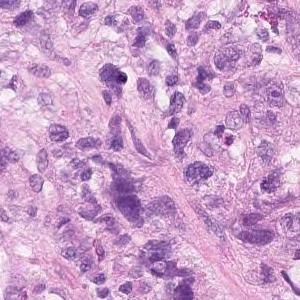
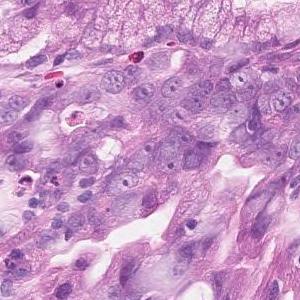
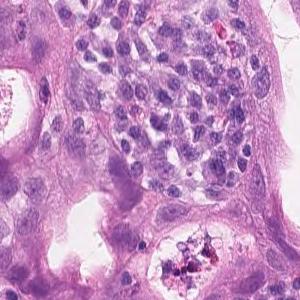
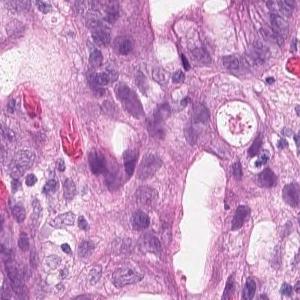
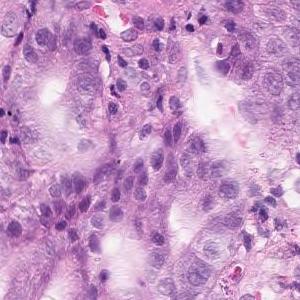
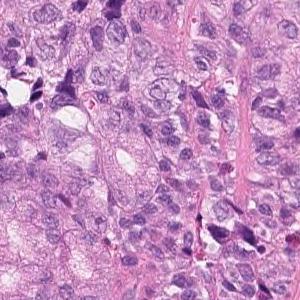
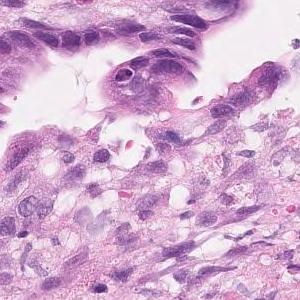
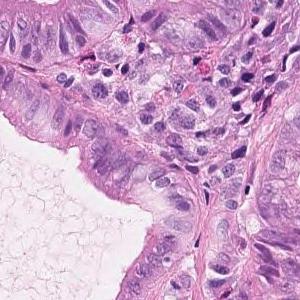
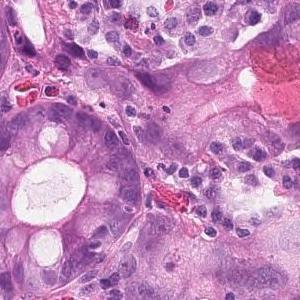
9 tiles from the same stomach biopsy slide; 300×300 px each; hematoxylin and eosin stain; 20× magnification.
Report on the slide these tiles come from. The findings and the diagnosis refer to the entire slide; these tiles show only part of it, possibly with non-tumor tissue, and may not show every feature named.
Tumor tissue showing dense, fused or diffuse, and infiltrative growth of small atypical ducts is observed. moderately differentiated tubular adenocarcinoma
